H&E stain · 20× magnification · 5 tiles from the same stomach biopsy slide.
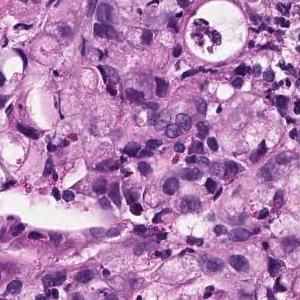
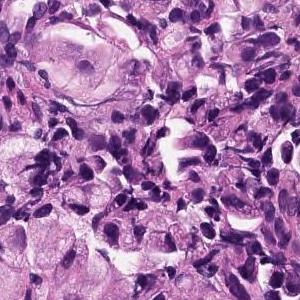
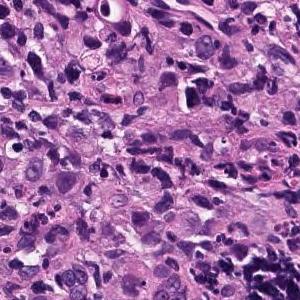
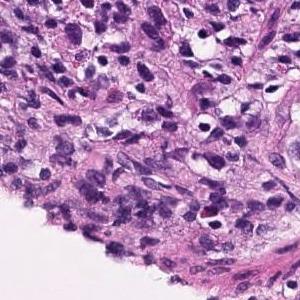
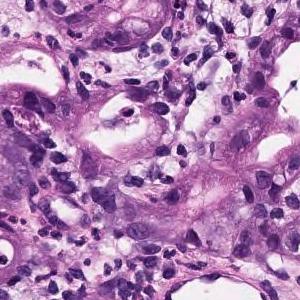
Report on the slide these tiles come from. The report and the diagnosis describe the slide as a whole, so these tiles may not show every feature named and may include non-tumor tissue.
Atypical epithelium forms irregularly fused gland ducts and proliferates. Poorly differentiated adenocarcinoma.
Tumor subtype: poorly differentiated adenocarcinoma, non-solid type.
"Non-solid type" is a category of the Japanese Classification of Gastric Carcinoma.
